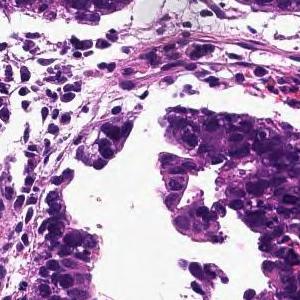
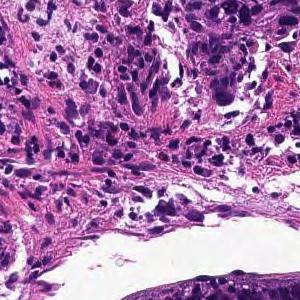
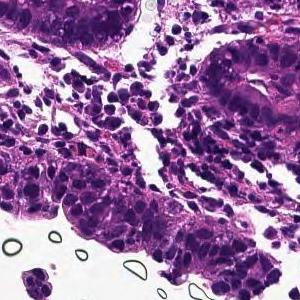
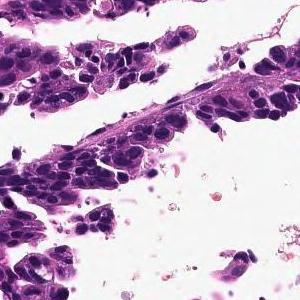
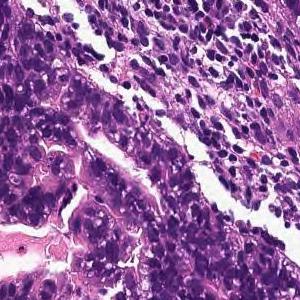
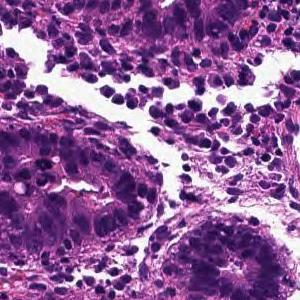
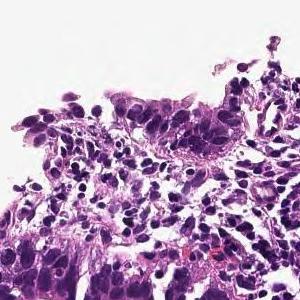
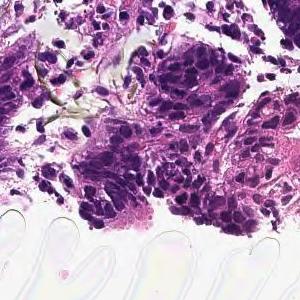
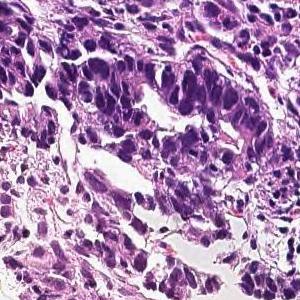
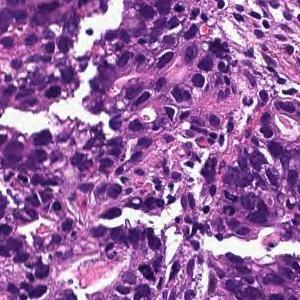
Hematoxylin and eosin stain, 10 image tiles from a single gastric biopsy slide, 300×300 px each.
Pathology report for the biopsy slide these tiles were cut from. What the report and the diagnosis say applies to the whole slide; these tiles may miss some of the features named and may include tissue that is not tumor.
In the superficial epithelium, tumor tissue that invades by forming medium-sized to small, irregular ducts is observed. moderately differentiated tubular adenocarcinoma.
